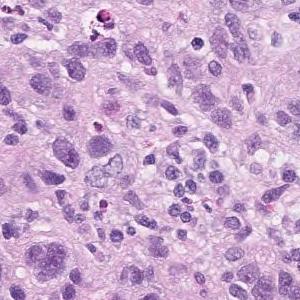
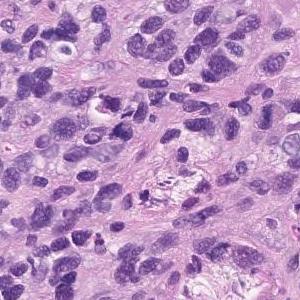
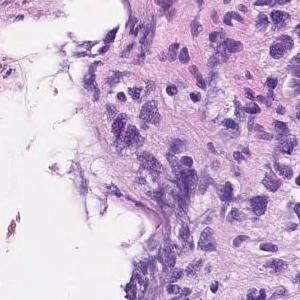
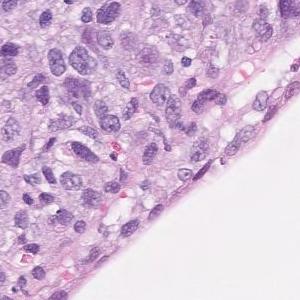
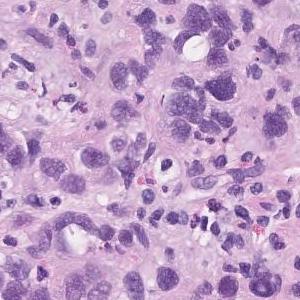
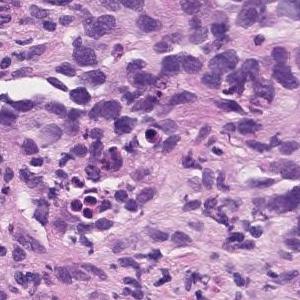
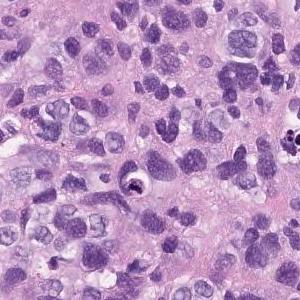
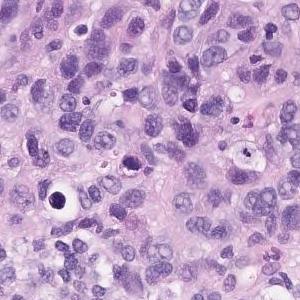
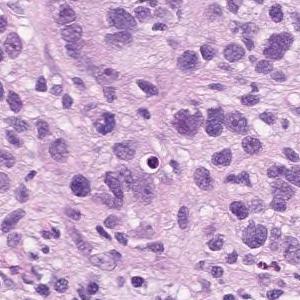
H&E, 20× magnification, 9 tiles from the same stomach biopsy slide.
Diagnostic report for the slide these tiles come from. What the report and the diagnosis say applies to the whole slide; these tiles may miss some of the features named and may include tissue that is not tumor.
Atypical l cells with atypical nuclei under the mucosa growing in isolation and scattered. Poorly differentiated adenocarcinoma (poorly differentiated adenocarcinoma, non-solid type)
Tumor subtype: poorly differentiated adenocarcinoma, non-solid type.
"Non-solid type" is a category of the Japanese Classification of Gastric Carcinoma.
